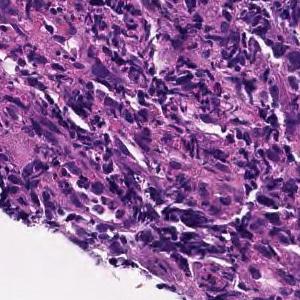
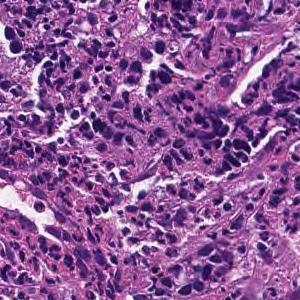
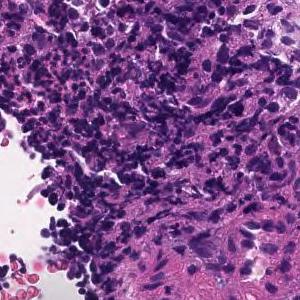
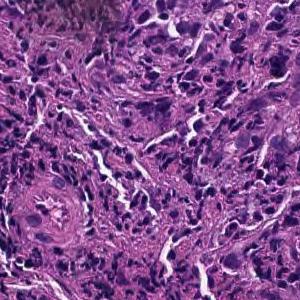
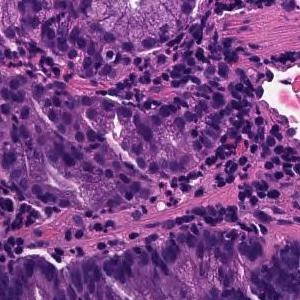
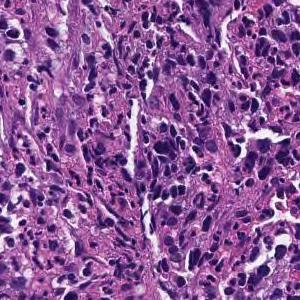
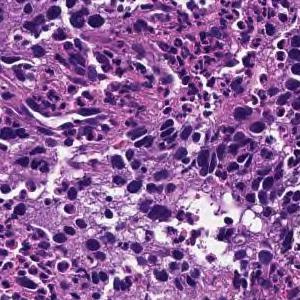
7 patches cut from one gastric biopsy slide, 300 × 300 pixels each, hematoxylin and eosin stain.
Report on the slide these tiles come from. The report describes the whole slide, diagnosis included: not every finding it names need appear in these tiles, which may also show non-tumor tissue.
Tumor tissue consisting of cord-like or small, irregular glandular ducts fused and infiltrated is observed in the superficial epithelium. Poorly differentiated adenocarcinoma, non-solid type
"Non-solid type" is a category of the Japanese Classification of Gastric Carcinoma.
